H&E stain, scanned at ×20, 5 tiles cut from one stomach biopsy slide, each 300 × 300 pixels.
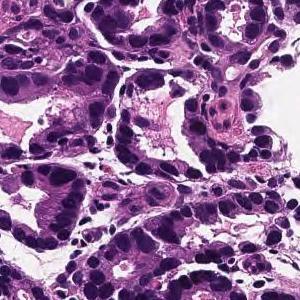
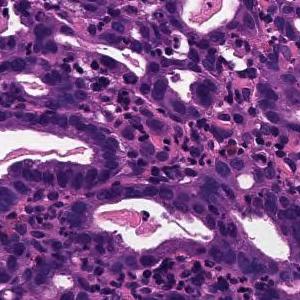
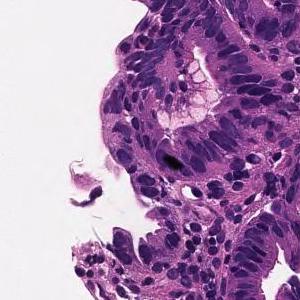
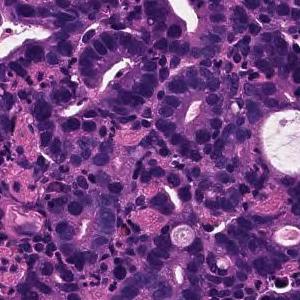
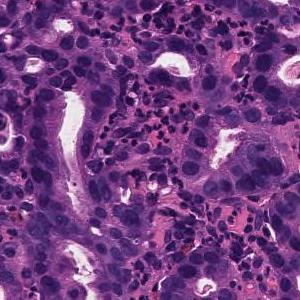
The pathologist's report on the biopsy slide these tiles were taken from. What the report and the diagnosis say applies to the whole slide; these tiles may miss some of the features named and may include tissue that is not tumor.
On the superficial epithelium, tumor tissue is found in which medium-sized irregular gland ducts fuse with each other and infiltrate. moderately differentiated tubular adenocarcinoma
